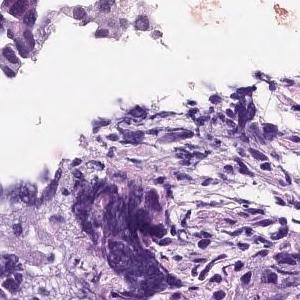
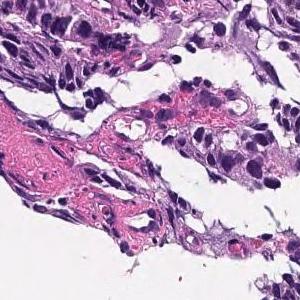
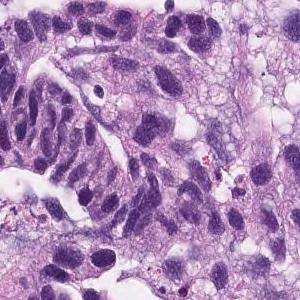
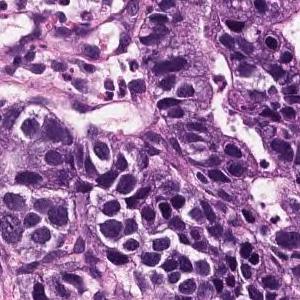
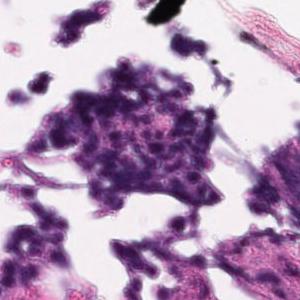
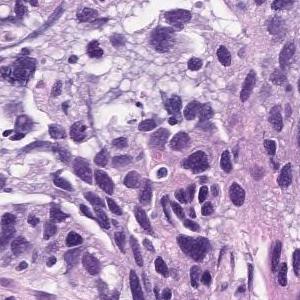
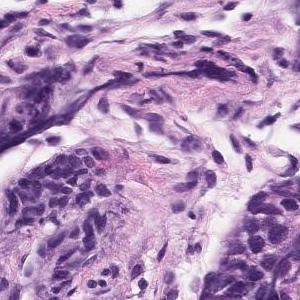
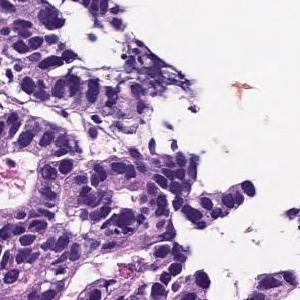
8 patches cut from one gastric biopsy slide, hematoxylin and eosin stain, 20× magnification.
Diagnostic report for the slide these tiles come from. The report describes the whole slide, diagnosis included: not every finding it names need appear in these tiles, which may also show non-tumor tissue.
Medium to small, irregular glandular ducts are formed in the superficial epithelium, and in some cases, the glandular ducts are fused to show solid alveolar lesions and infiltrating tumor tissue is observed. Moderately to poorly differentiated adenocarcinoma.
